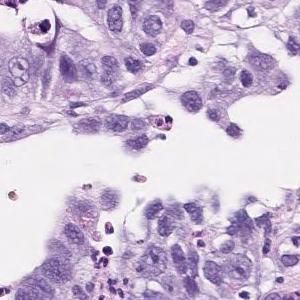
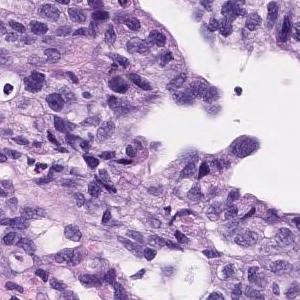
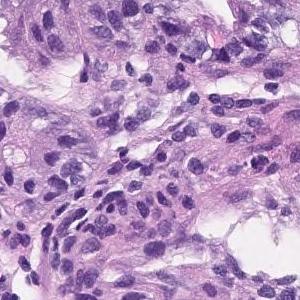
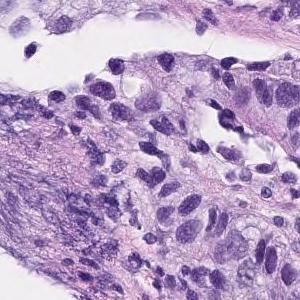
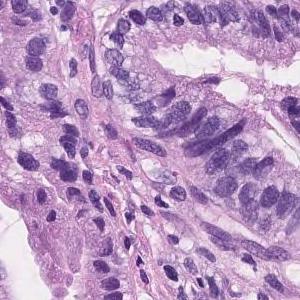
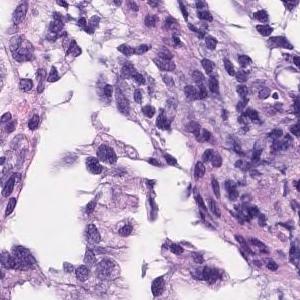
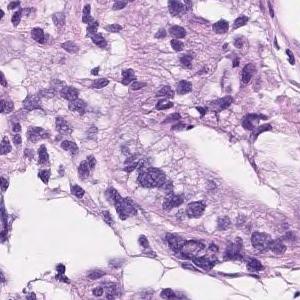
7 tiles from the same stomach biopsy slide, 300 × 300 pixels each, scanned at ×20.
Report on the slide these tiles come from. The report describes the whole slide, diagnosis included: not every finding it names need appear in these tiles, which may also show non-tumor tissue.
Tumor cells are large, highly columnar, large club-shaped nuclei, and are associated with chromatin aggregation. Papillary adenocarcinoma.
